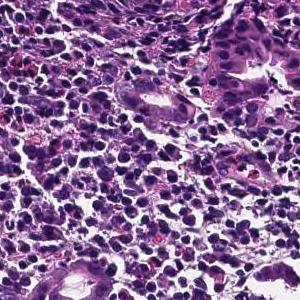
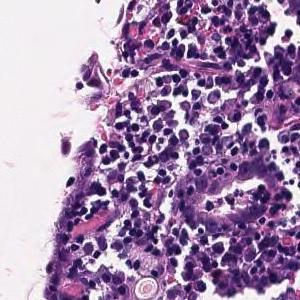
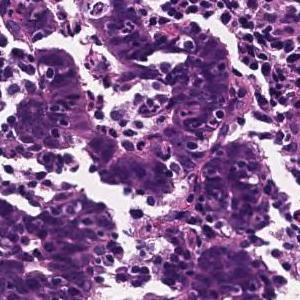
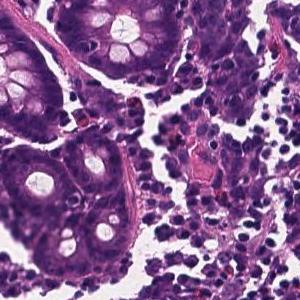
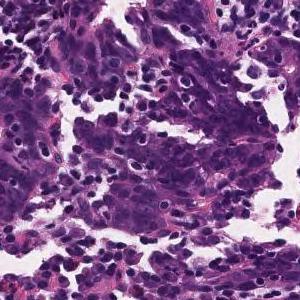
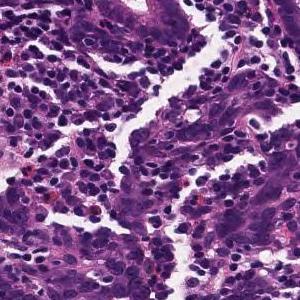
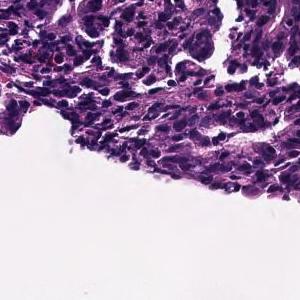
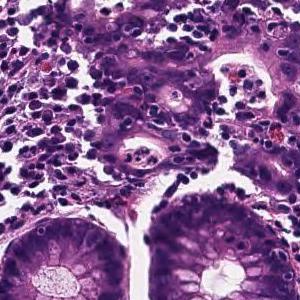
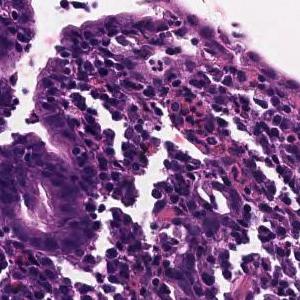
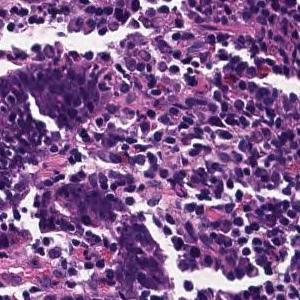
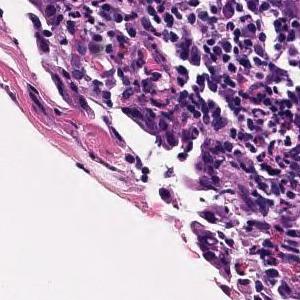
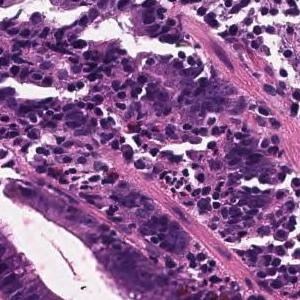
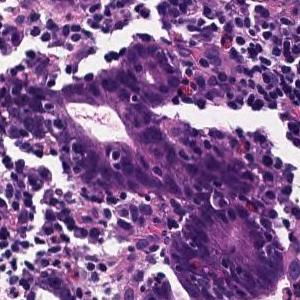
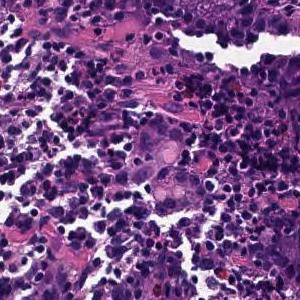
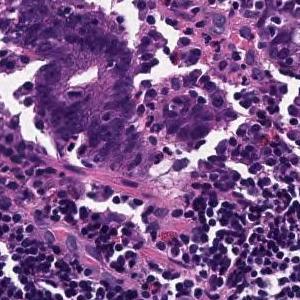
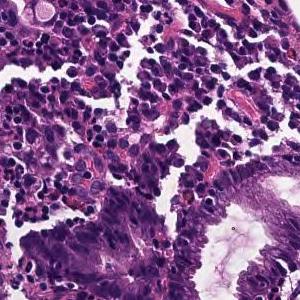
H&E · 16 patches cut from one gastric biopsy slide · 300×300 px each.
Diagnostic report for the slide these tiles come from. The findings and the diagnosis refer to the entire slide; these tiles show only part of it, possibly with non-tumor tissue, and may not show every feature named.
Tumor tissue consisting of medium-sized, cord-like or irregular glandular infiltration is observed in the superficial epithelium. Poorly differentiated adenocarcinoma, non-solid type or moderately differentiated tubular adenocarcinoma
Subtype: Moderately to poorly differentiated adenocarcinoma.
The term "non-solid type" comes from the Japanese Classification of Gastric Carcinoma.
